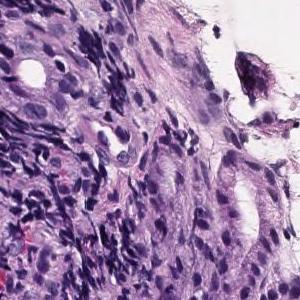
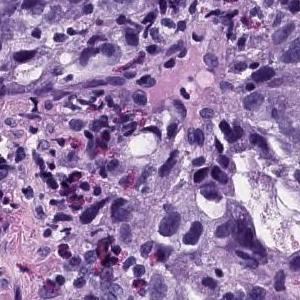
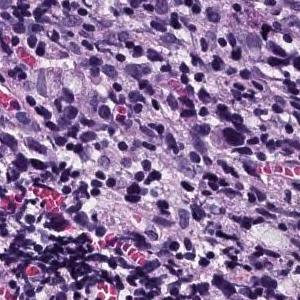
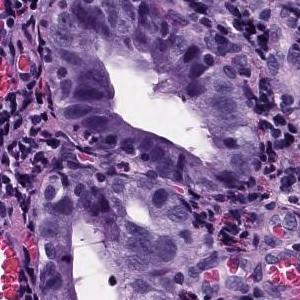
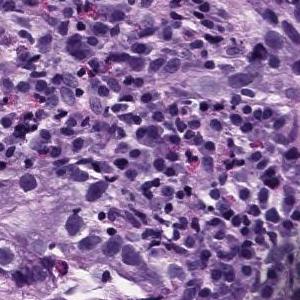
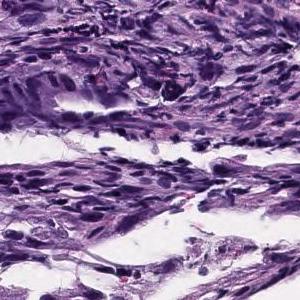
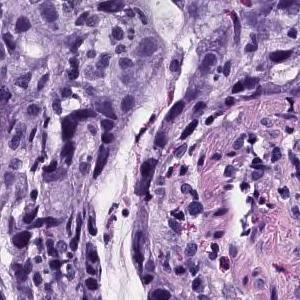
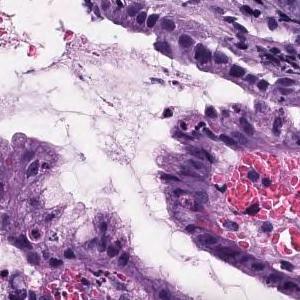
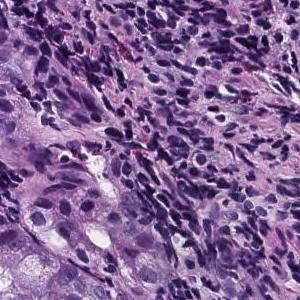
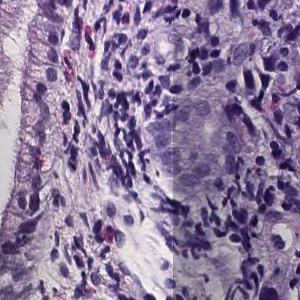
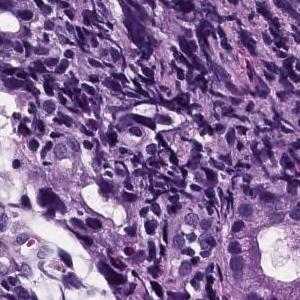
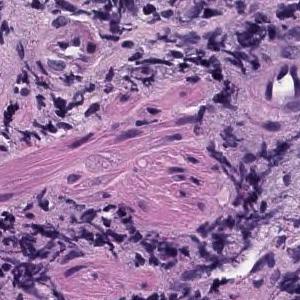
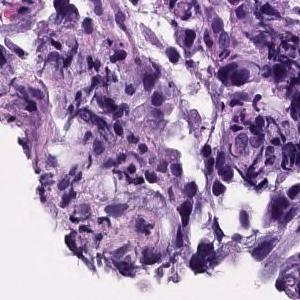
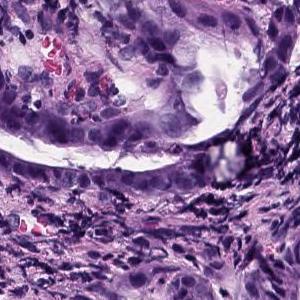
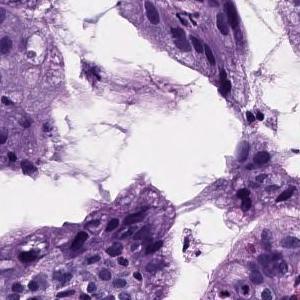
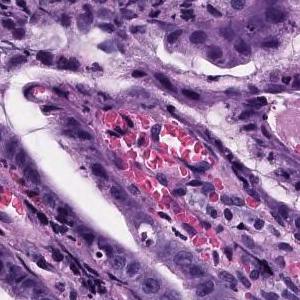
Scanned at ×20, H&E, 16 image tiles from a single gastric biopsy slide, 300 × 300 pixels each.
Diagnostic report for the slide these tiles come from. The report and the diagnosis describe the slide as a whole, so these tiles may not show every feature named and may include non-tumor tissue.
Atypical epithelial cells infiltrating and proliferating while forming solid or cord-like fused glandular cavities of different sizes is observed. moderately differentiated tubular adenocarcinoma, poorly differentiated adenocarcinoma.
Histological subtype: Moderately to poorly differentiated adenocarcinoma.
